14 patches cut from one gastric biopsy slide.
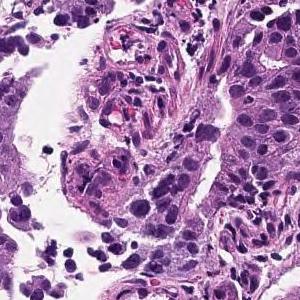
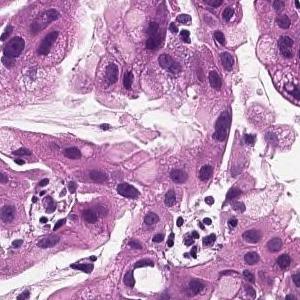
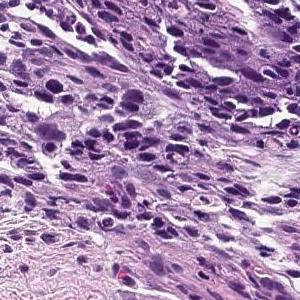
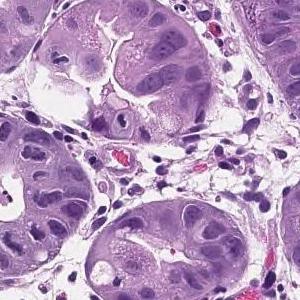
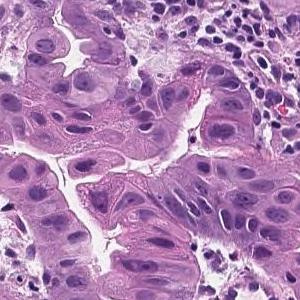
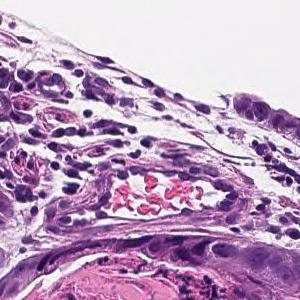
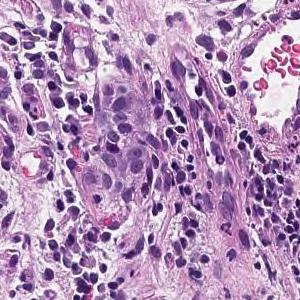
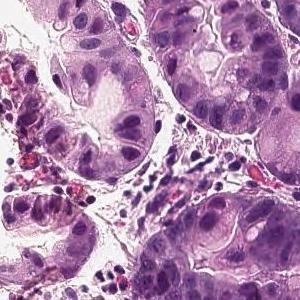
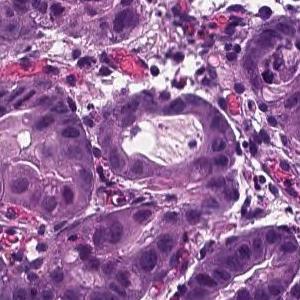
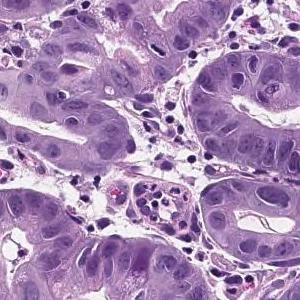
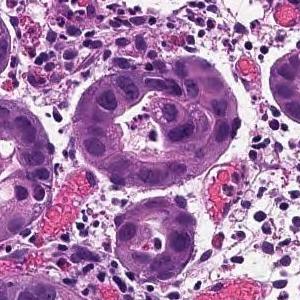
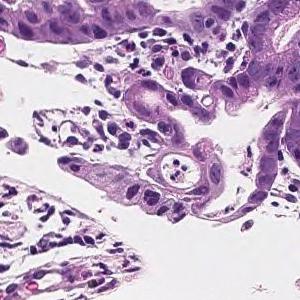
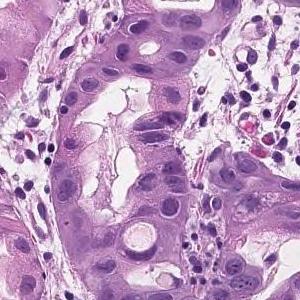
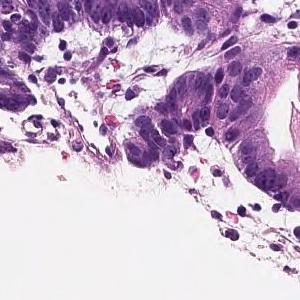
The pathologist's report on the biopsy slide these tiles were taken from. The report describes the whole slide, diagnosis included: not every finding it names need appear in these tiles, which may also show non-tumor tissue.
On the superficial epithelium, tumor tissue that infiltrates by forming medium-sized papillary or small irregular ducts is observed. Papillary adenocarcinoma
